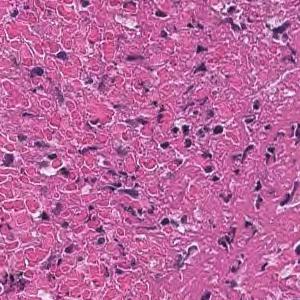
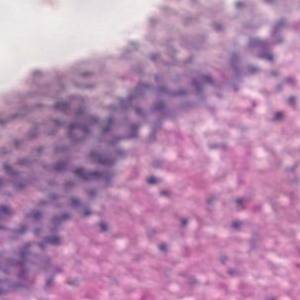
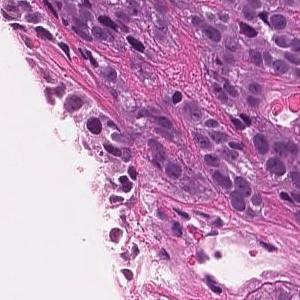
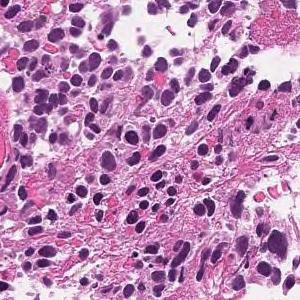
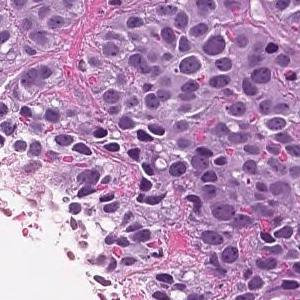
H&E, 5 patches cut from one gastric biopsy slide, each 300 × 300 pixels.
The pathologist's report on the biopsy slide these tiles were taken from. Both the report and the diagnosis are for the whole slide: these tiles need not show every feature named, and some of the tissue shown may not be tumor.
The superficial epithelium shows a large sheet-like shape, and some tumor tissue infiltrates with small irregular ducts. Poorly differentiated adenocarcinoma, solid-type
Histological subtype: Poorly differentiated adenocarcinoma, solid type. This name comes from the Japanese Classification of Gastric Carcinoma; the WHO 2019 classification calls it tubular adenocarcinoma, poorly differentiated.
